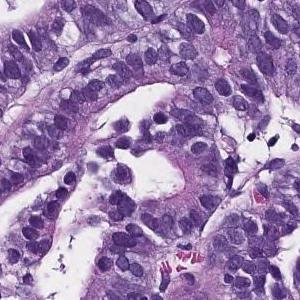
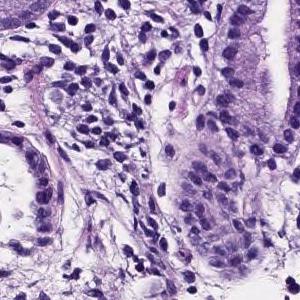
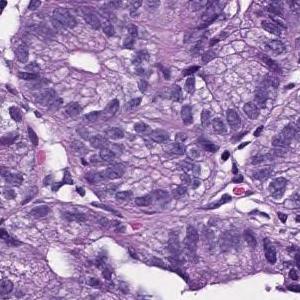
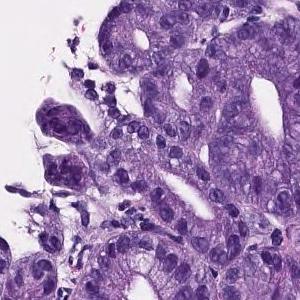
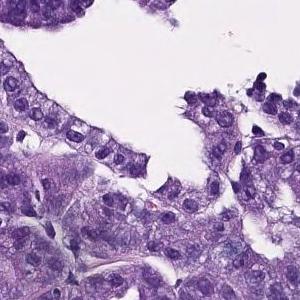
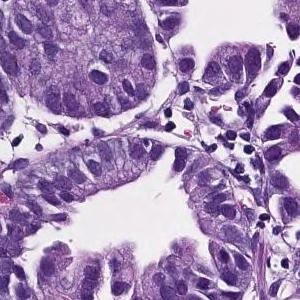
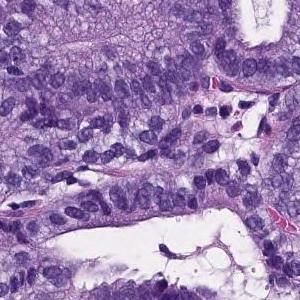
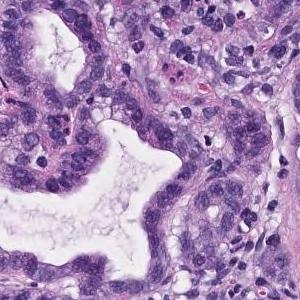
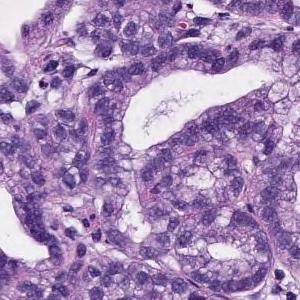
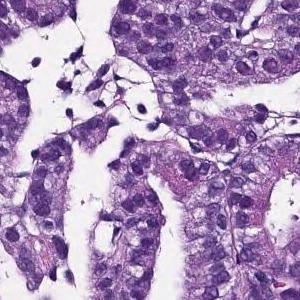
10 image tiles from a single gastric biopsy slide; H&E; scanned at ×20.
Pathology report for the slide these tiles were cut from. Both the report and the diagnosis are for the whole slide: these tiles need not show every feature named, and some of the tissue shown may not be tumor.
On the superficial epithelium, tumor tissue that infiltrates by forming medium-sized papillary or small irregular ducts is observed. Papillary adenocarcinoma
